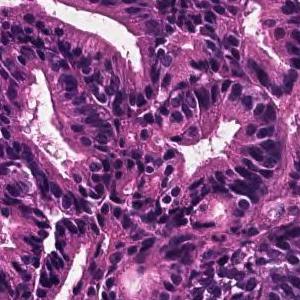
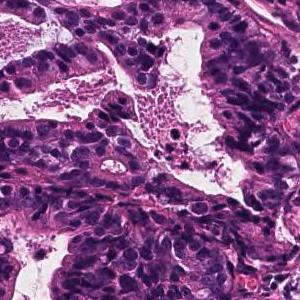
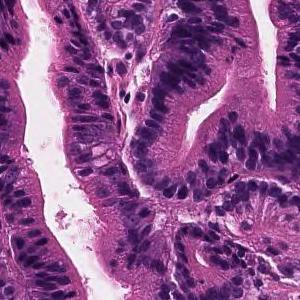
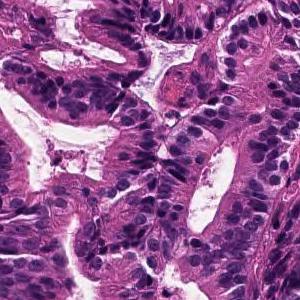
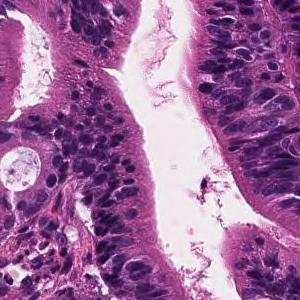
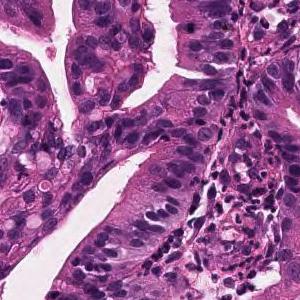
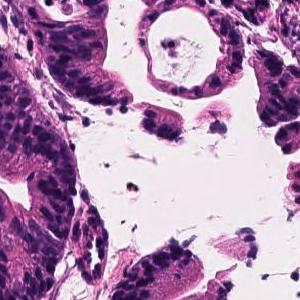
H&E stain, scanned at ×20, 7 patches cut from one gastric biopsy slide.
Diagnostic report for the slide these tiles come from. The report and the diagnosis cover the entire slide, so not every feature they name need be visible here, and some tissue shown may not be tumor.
In the superficial epithelium, tumor tissue that invades by forming medium-sized to small, irregular ducts is observed. Moderately differentiated adenocarcinoma.
Tumor subtype: moderately differentiated tubular adenocarcinoma.
